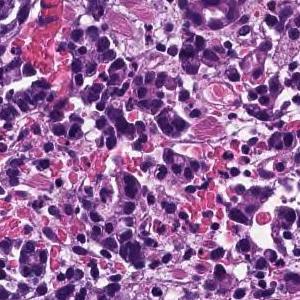
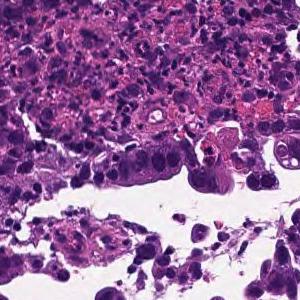
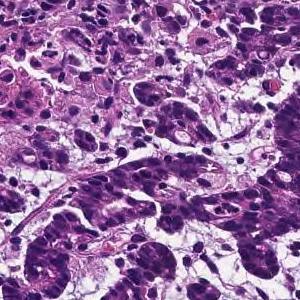
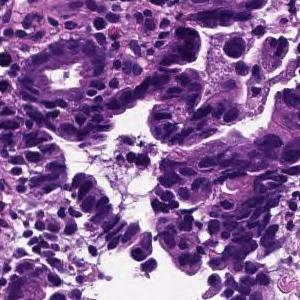
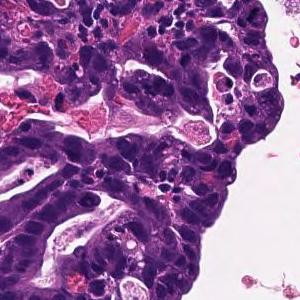
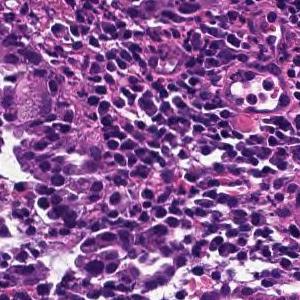
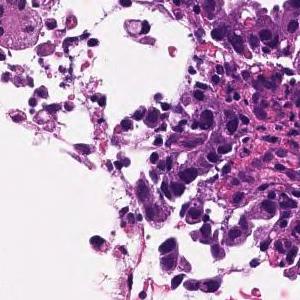
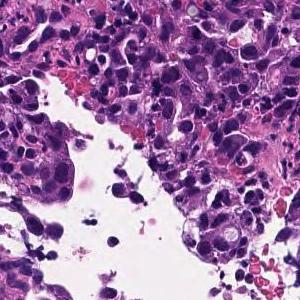
8 tiles from the same stomach biopsy slide.
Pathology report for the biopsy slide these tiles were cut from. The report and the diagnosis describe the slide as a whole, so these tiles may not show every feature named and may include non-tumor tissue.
In the superficial epithelium, tumor tissue that invades by forming medium-sized to small, irregular ducts is observed. moderately differentiated tubular adenocarcinoma.
